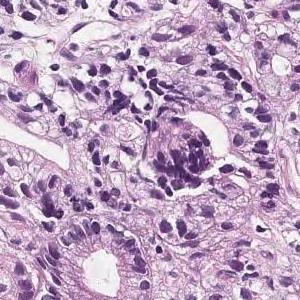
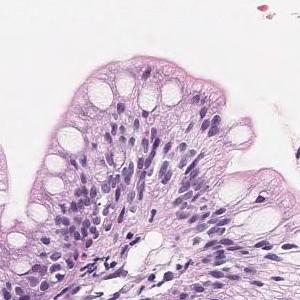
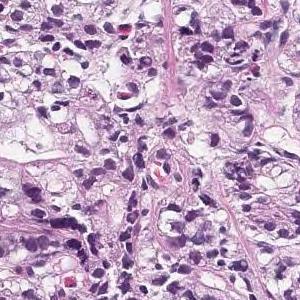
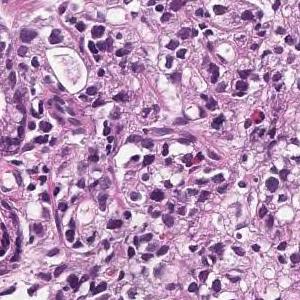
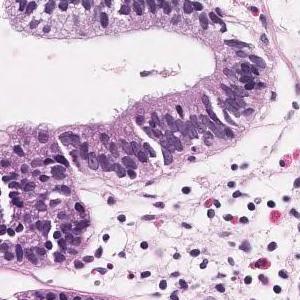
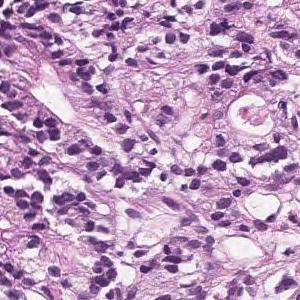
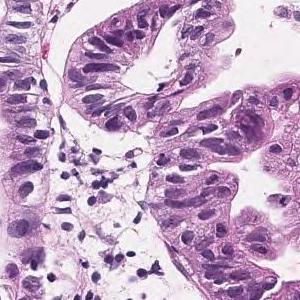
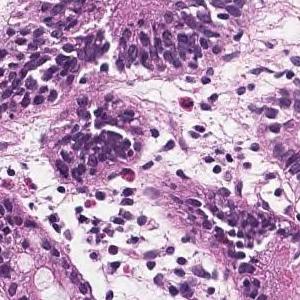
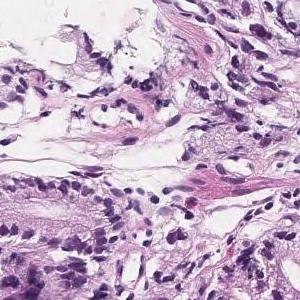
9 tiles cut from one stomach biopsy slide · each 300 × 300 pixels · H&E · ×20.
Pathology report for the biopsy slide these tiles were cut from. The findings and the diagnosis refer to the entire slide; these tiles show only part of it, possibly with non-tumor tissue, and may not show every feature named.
In the superficial epithelium, tumor tissue that invades by forming medium-sized to small, irregular ducts is observed. Well differentiated tubular adenocarcinoma.
